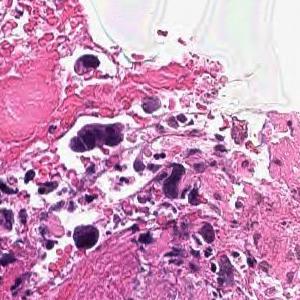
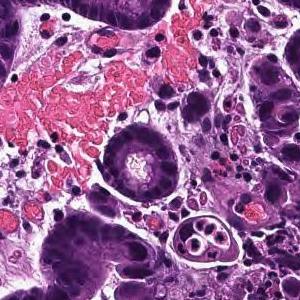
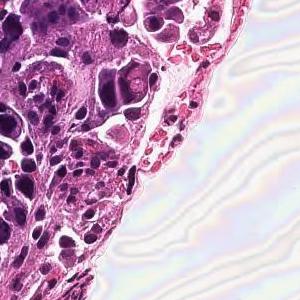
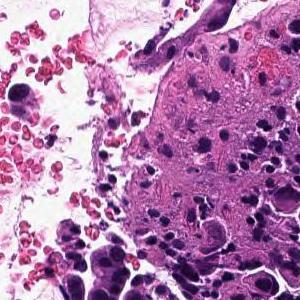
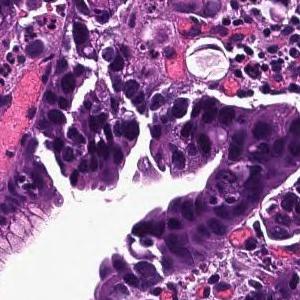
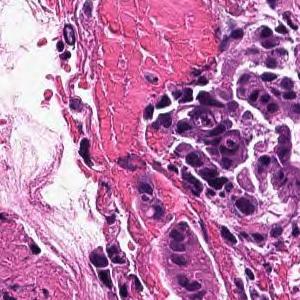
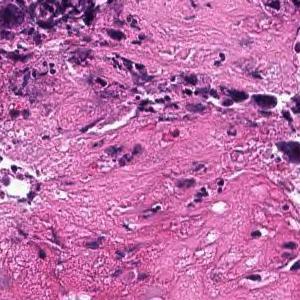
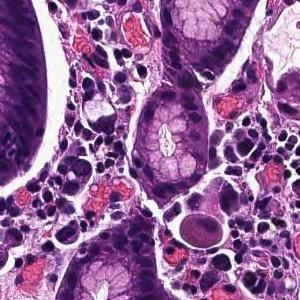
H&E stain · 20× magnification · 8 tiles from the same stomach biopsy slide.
Pathology report for the slide these tiles were cut from. The findings and the diagnosis refer to the entire slide; these tiles show only part of it, possibly with non-tumor tissue, and may not show every feature named.
Tumor tissue consisting of medium-sized, cord-like or irregular glandular infiltration is observed in the superficial epithelium. Poorly differentiated adenocarcinoma, non-solid type or moderately differentiated tubular adenocarcinoma
Histologic type: Moderately to poorly differentiated adenocarcinoma.
The term "non-solid type" comes from the Japanese Classification of Gastric Carcinoma.
